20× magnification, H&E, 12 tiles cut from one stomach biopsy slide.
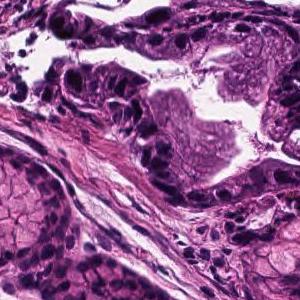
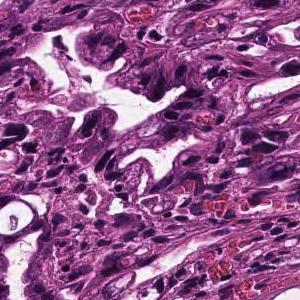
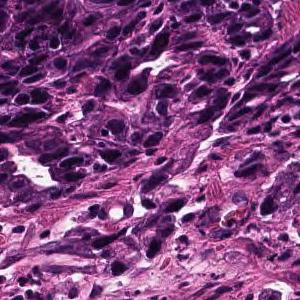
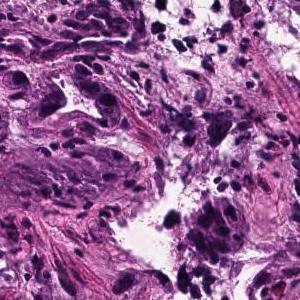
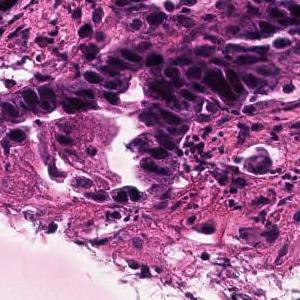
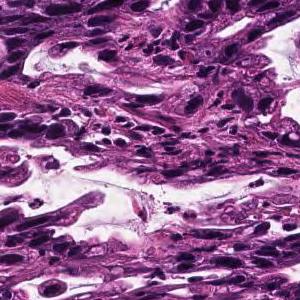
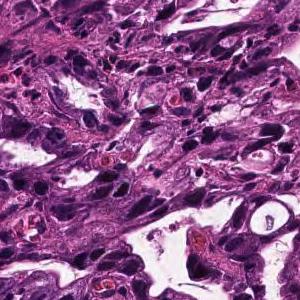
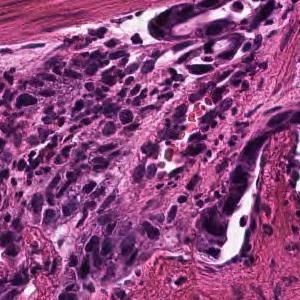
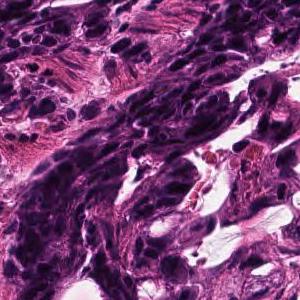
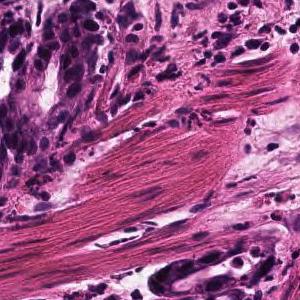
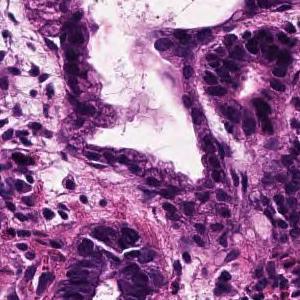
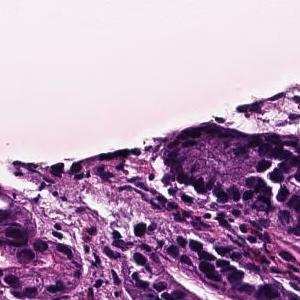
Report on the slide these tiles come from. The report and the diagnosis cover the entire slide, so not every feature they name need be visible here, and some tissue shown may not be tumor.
In the superficial epithelium, tumor tissue that invades by forming medium-sized to small, irregular ducts is observed. moderately differentiated tubular adenocarcinoma.
